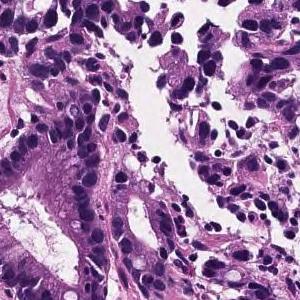
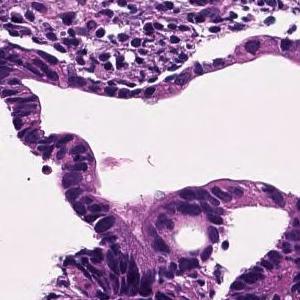
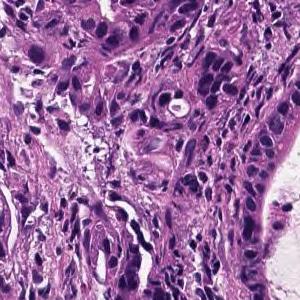
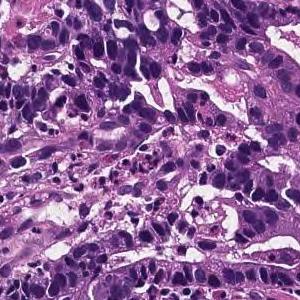
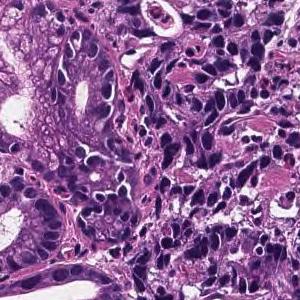
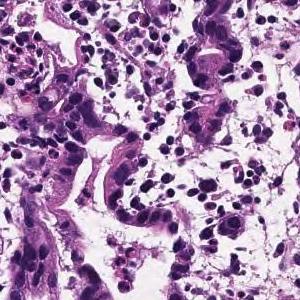
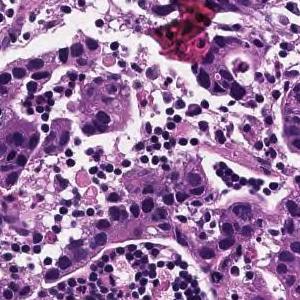
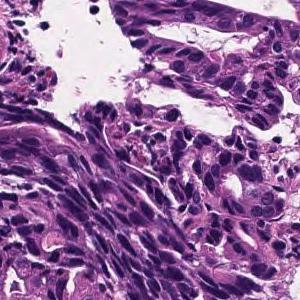
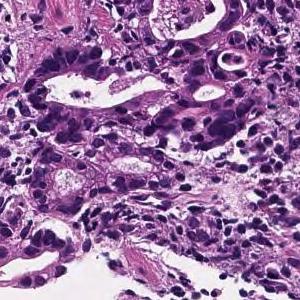
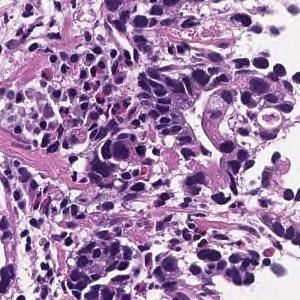
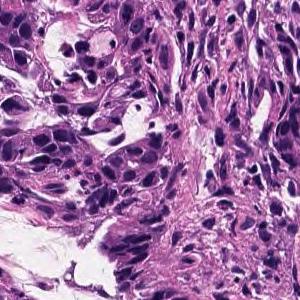
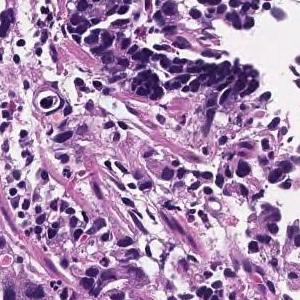
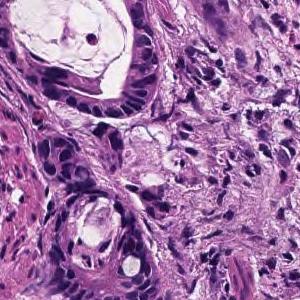
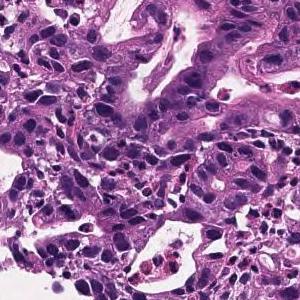
Scanned at ×20, hematoxylin and eosin stain, 14 tiles from the same stomach biopsy slide, 300×300 px each.
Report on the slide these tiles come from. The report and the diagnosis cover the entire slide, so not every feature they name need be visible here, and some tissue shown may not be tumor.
In the superficial epithelium, tumor tissue that invades by forming medium-sized to small, irregular ducts is observed. moderately differentiated tubular adenocarcinoma.
